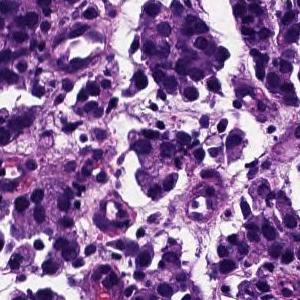
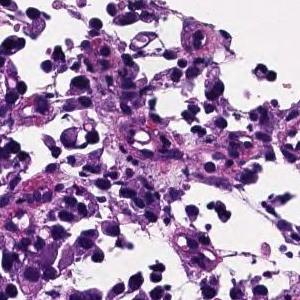
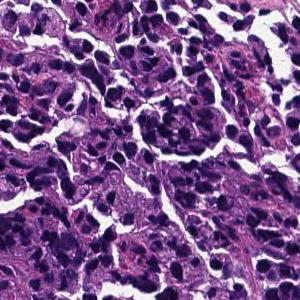
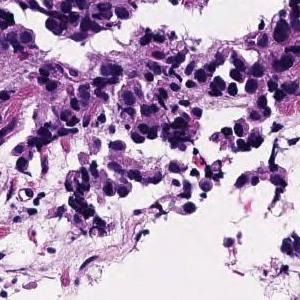
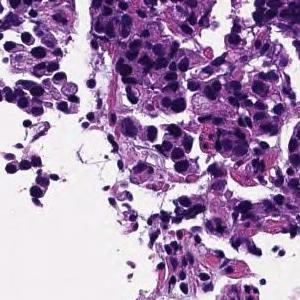
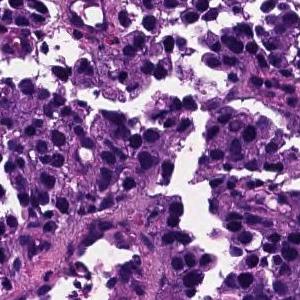
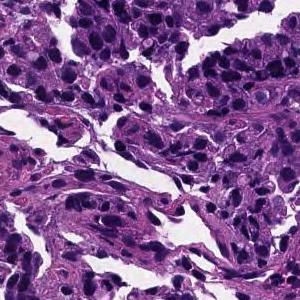
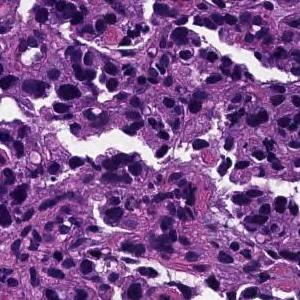
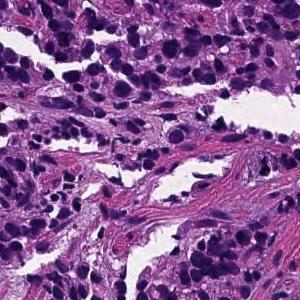
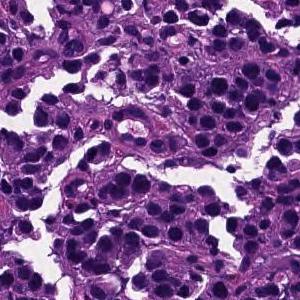
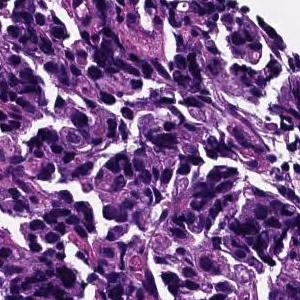
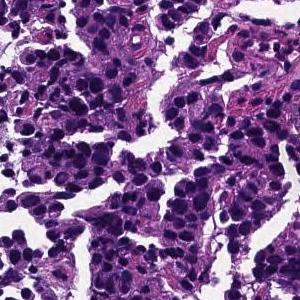
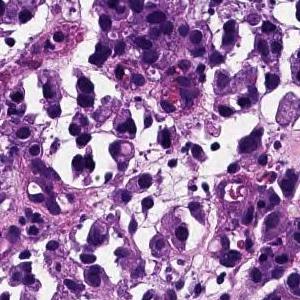
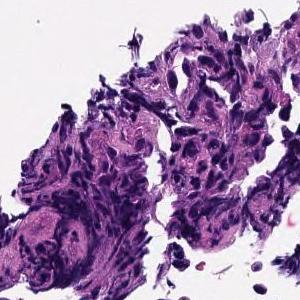
14 patches cut from one gastric biopsy slide, 300×300 px each, H&E stain, scanned at ×20.
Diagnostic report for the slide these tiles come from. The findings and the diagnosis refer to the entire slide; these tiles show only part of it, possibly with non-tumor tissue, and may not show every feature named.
The superficial epithelium shows a large alveolar shape and infiltrates tumor tissue. Poorly differentiated adenocarcinoma, solid-type
Histologic type: Poorly differentiated adenocarcinoma, solid type. This name comes from the Japanese Classification of Gastric Carcinoma; the WHO 2019 classification calls it tubular adenocarcinoma, poorly differentiated.
